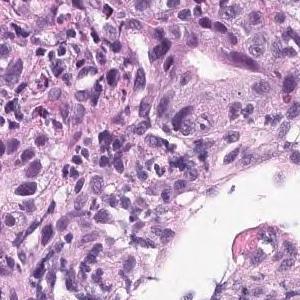
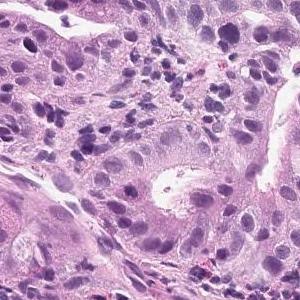
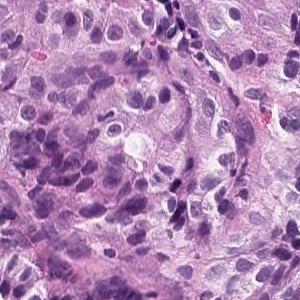
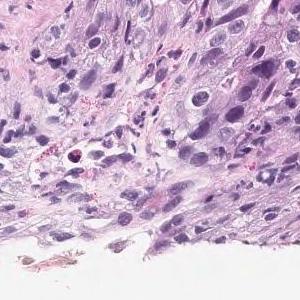
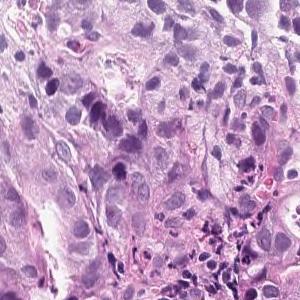
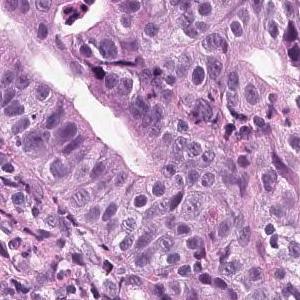
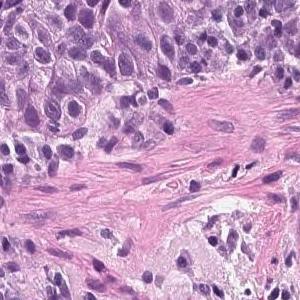
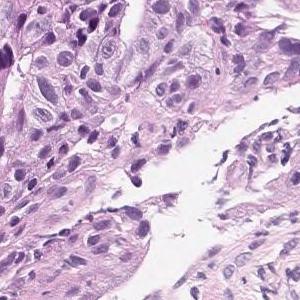
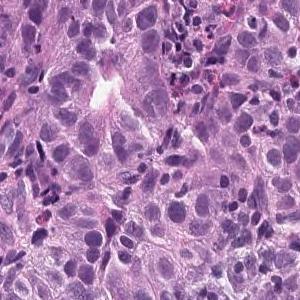
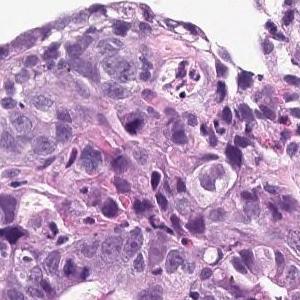
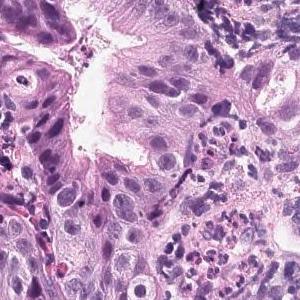
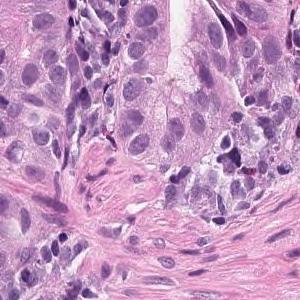
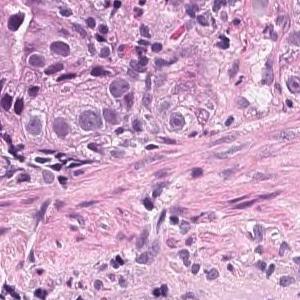
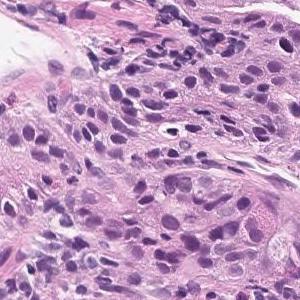
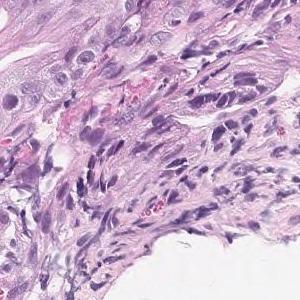
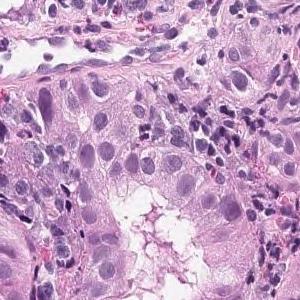
20× magnification, H&E, 16 tiles cut from one stomach biopsy slide, each 300 × 300 pixels.
Report on the slide these tiles come from. The report and the diagnosis describe the slide as a whole, so these tiles may not show every feature named and may include non-tumor tissue.
On the superficial epithelium, tumor tissue consisting of medium-sized to large-sized, irregular tubules partially fused and densely proliferating is observed. moderately differentiated tubular adenocarcinoma
